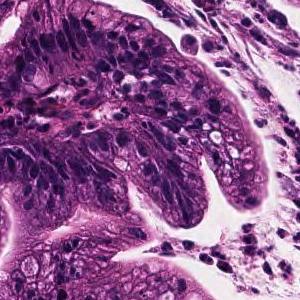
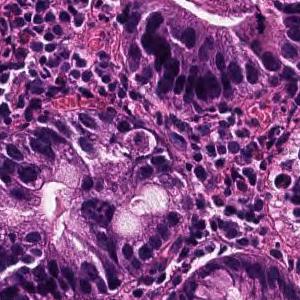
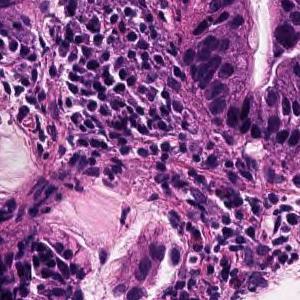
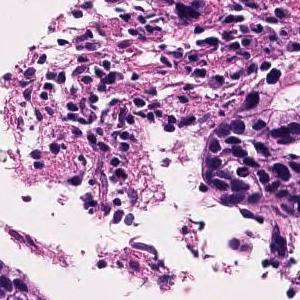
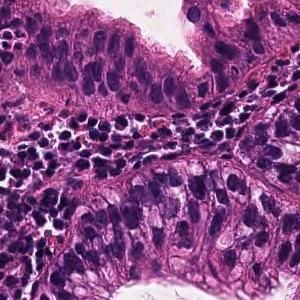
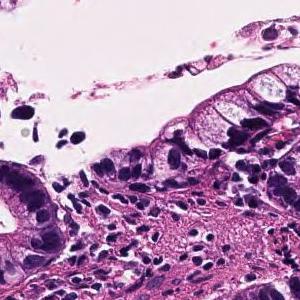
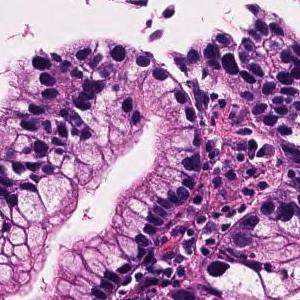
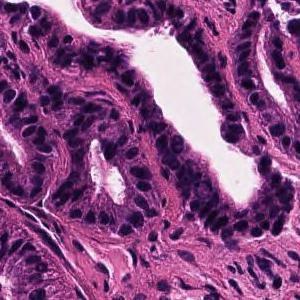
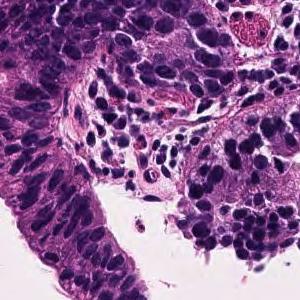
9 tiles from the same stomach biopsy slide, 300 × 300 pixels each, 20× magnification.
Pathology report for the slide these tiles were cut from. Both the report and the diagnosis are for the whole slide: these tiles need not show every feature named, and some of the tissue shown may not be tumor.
Tumor cells are large, highly columnar, large club-shaped nuclei, and are associated with chromatin aggregation. Papillary adenocarcinoma.
